×20; hematoxylin and eosin stain; 6 image tiles from a single gastric biopsy slide; 300×300 px each.
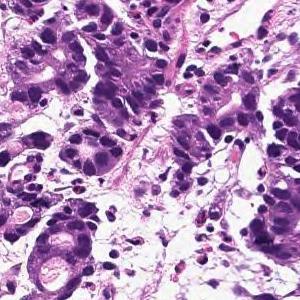
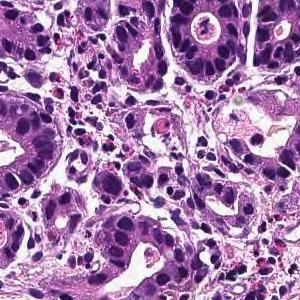
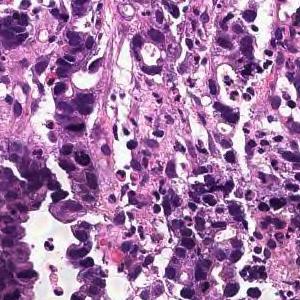
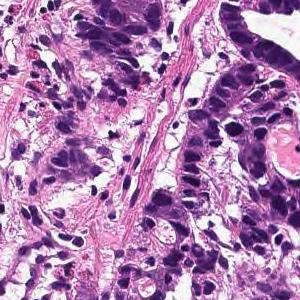
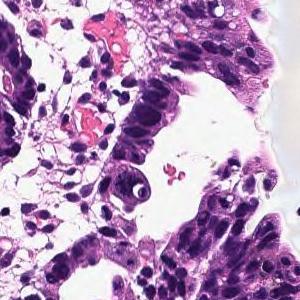
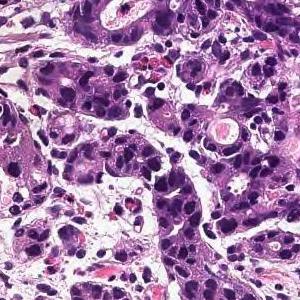
Diagnostic report for the slide these tiles come from. Both the report and the diagnosis are for the whole slide: these tiles need not show every feature named, and some of the tissue shown may not be tumor.
In the superficial epithelium, tumor tissue that invades by forming medium-sized to small, irregular ducts is observed. moderately differentiated tubular adenocarcinoma.
